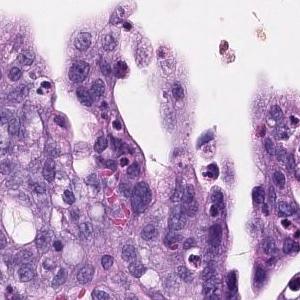
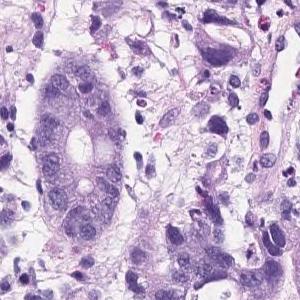
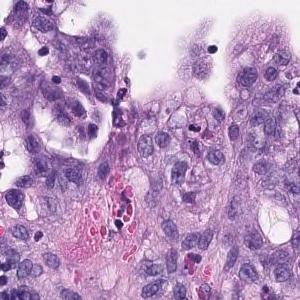
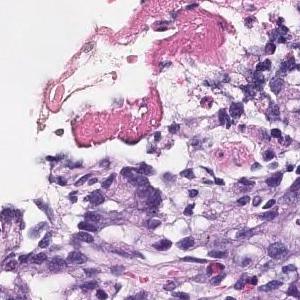
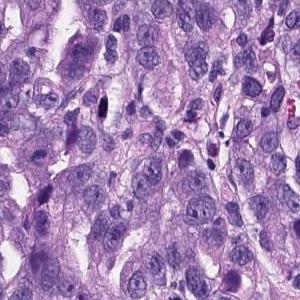
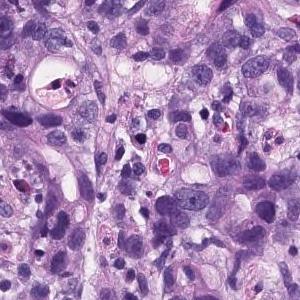
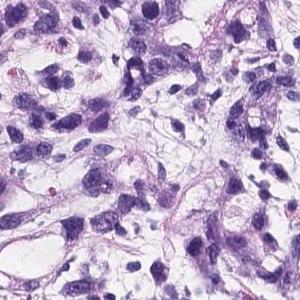
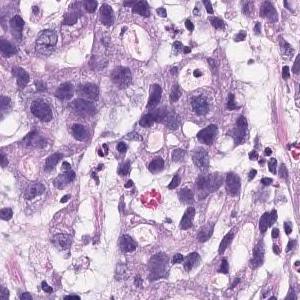
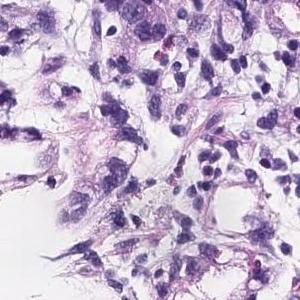
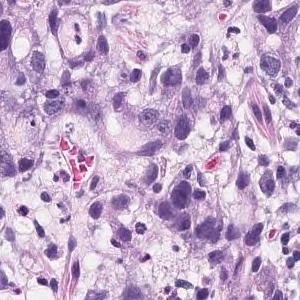
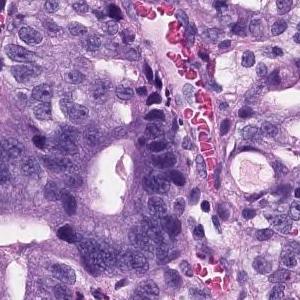
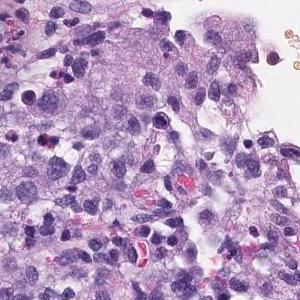
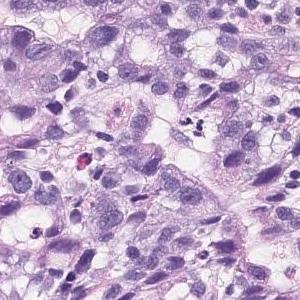
13 image tiles from a single gastric biopsy slide; 300×300 px each.
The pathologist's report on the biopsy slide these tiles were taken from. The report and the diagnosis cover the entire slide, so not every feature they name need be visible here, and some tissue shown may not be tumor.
There are atypical l cells with atypical nuclei forming cord-like or irregular atypical ducts from solidity and proliferating in a comprehensive manner. Poorly differentiated adenocarcinoma, Moderately differentiated adenocarcinoma (poorly differentiated adenocarcinoma, solid type moderately differentiated tubular adenocarcinoma)
Tumor subtype: moderately to poorly differentiated adenocarcinoma.
The solid type named here is a Japanese Classification of Gastric Carcinoma category; WHO 2019 calls it tubular adenocarcinoma, poorly differentiated.
